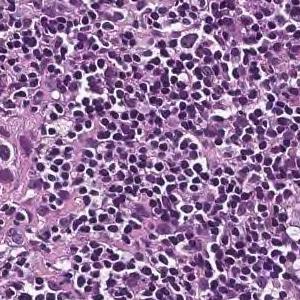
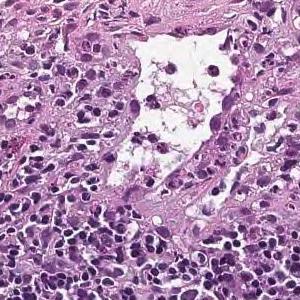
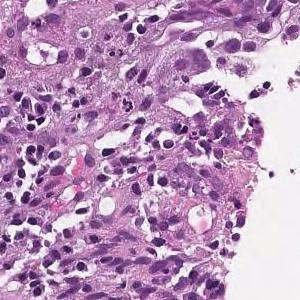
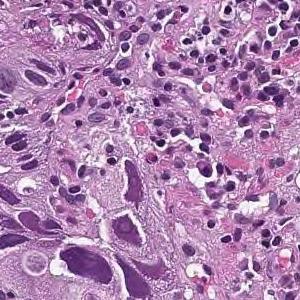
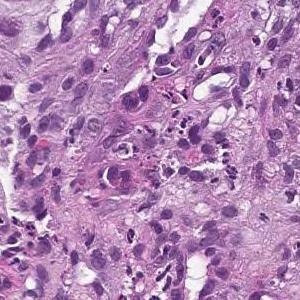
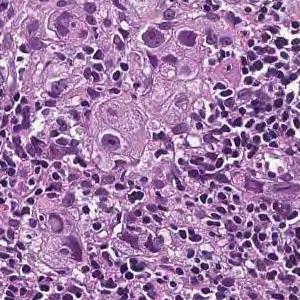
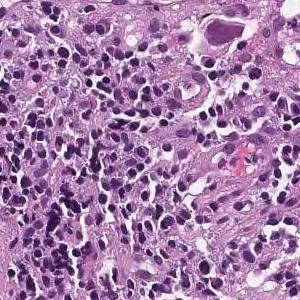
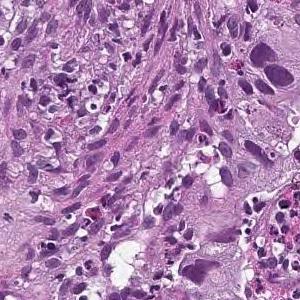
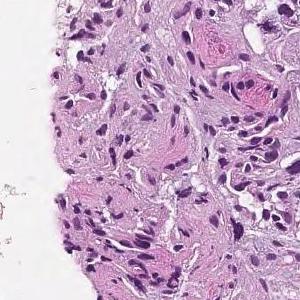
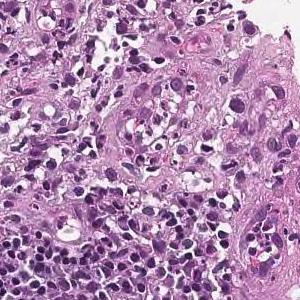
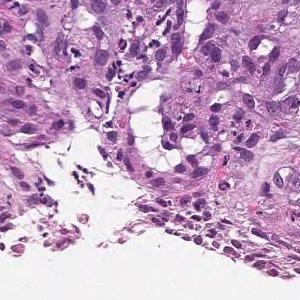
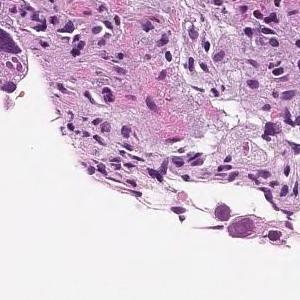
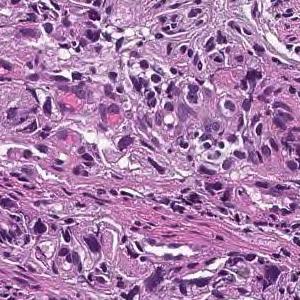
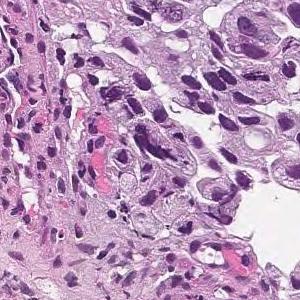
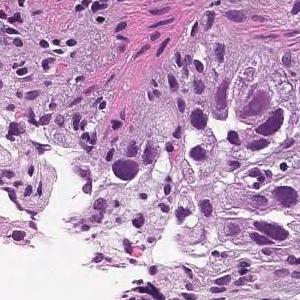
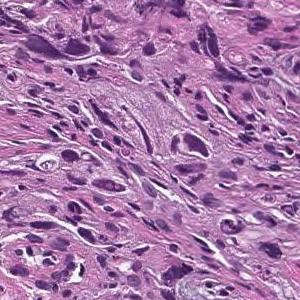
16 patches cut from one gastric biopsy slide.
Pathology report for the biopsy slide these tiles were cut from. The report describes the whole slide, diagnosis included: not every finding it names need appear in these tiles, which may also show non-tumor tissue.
Tumor tissue consisting of cord-like or small irregular glandular ducts fused is observed infiltrating in the superficial epithelium. Poorly differentiated adenocarcinoma, non-solid type
The non-solid type named here is a Japanese Classification of Gastric Carcinoma category.
